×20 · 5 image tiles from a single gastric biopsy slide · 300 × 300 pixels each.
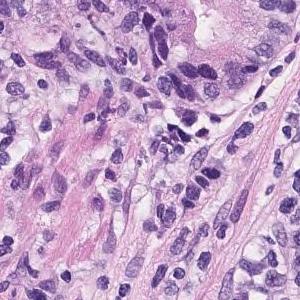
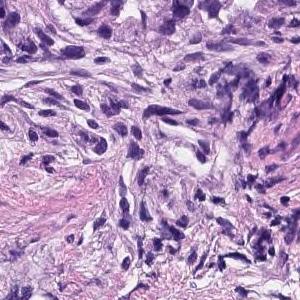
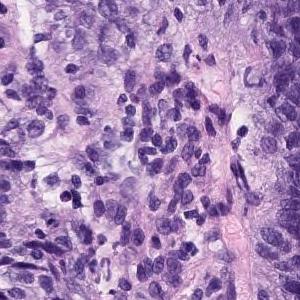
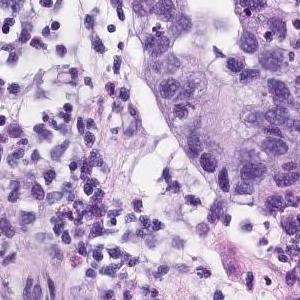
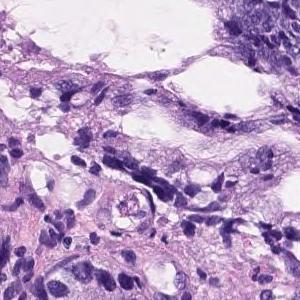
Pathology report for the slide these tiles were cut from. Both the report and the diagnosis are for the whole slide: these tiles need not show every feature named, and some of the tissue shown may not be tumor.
Tumor cells are large, highly columnar, large club-shaped nuclei, and are associated with chromatin aggregation. Papillary adenocarcinoma.
